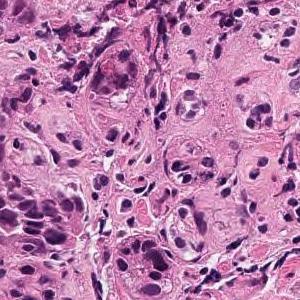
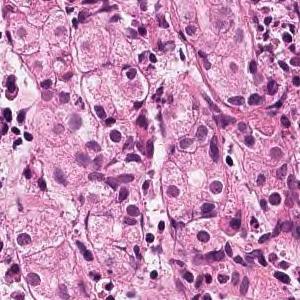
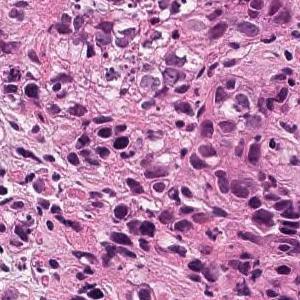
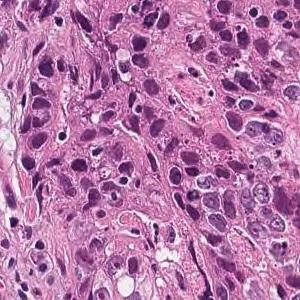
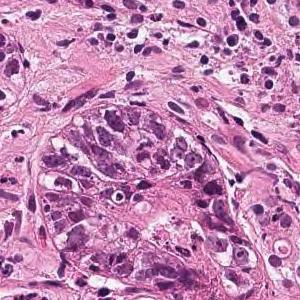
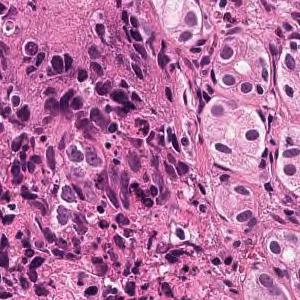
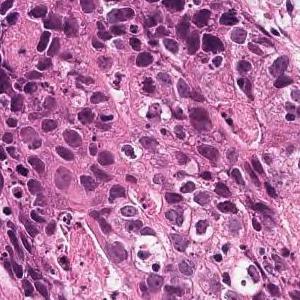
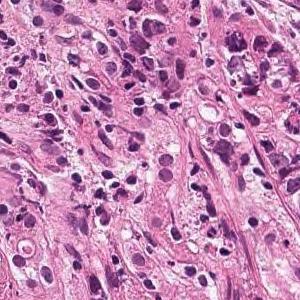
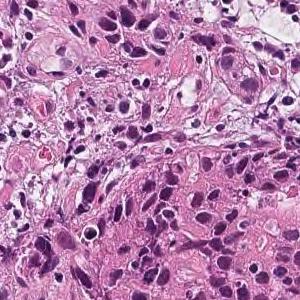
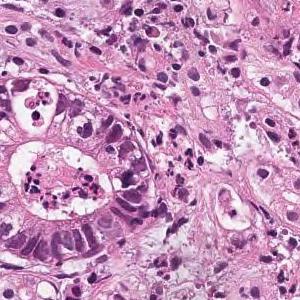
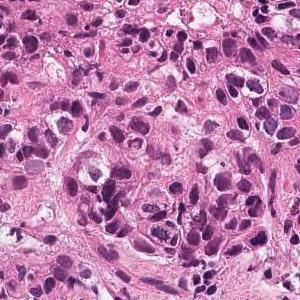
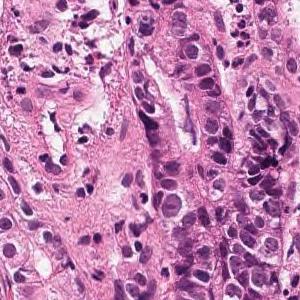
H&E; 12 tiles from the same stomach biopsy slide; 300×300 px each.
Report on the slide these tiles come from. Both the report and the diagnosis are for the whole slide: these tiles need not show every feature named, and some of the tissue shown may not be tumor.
Medium to small, irregular glandular ducts are formed in the superficial epithelium, and in some cases, the glandular ducts are fused to show solid alveolar lesions and infiltrating tumor tissue is observed. Moderately to poorly differentiated adenocarcinoma.
